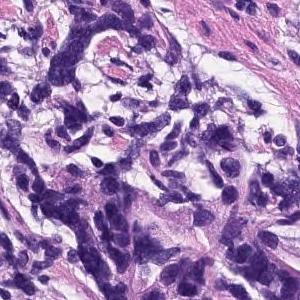
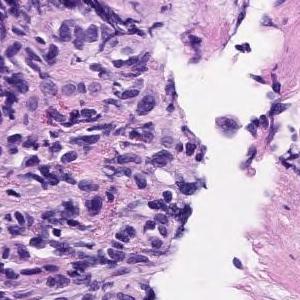
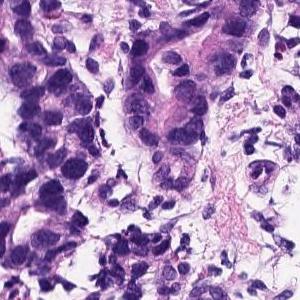
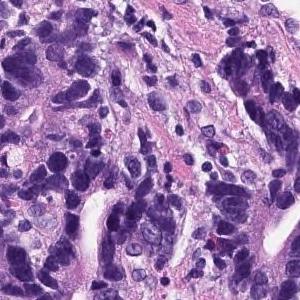
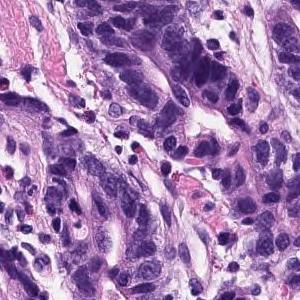
H&E stain, 5 image tiles from a single gastric biopsy slide, 300×300 px each.
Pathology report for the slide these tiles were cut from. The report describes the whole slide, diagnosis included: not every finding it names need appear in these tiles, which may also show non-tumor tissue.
On the superficial epithelium, tumor tissue consisting of images showing invasive growth with small, irregular tubules partially fused is observed. moderately differentiated tubular adenocarcinoma
